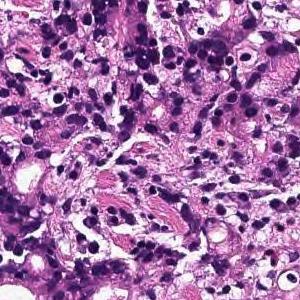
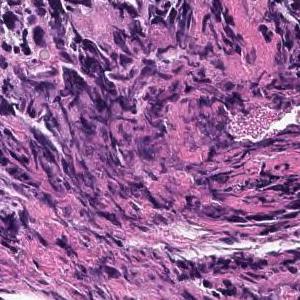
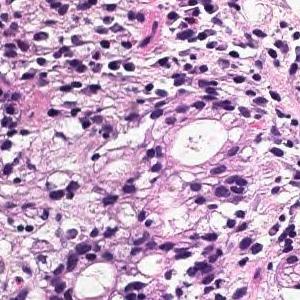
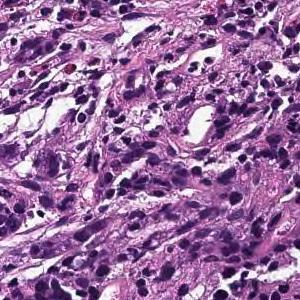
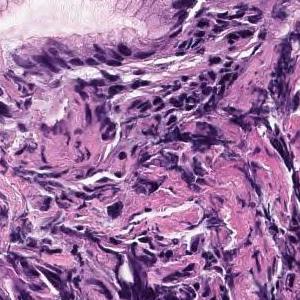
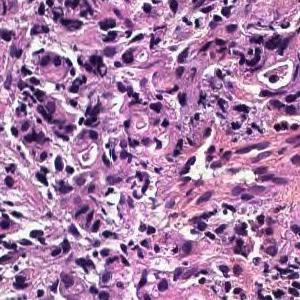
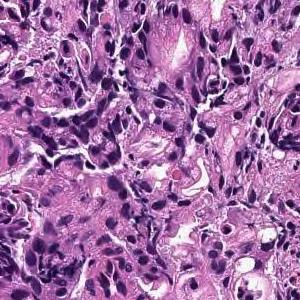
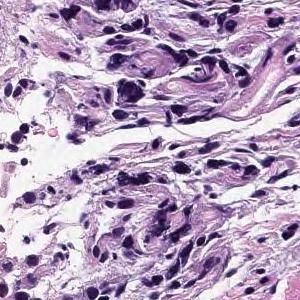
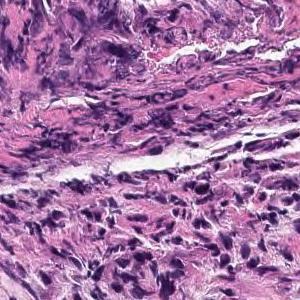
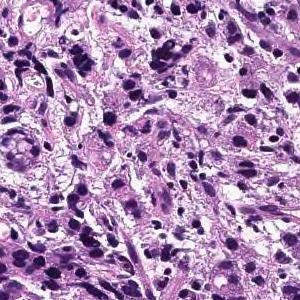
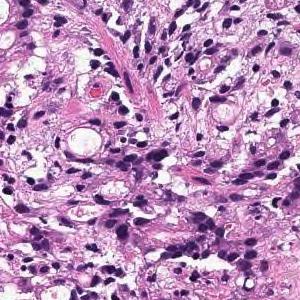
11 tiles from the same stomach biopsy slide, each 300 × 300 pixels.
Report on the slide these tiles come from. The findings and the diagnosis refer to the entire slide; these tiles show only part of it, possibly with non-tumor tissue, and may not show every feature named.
Tumor tissue consisting of cord-like or small, irregular glandular ducts fused and infiltrated is observed in the superficial epithelium. Poorly differentiated adenocarcinoma, non-solid type
The term "non-solid type" comes from the Japanese Classification of Gastric Carcinoma.
